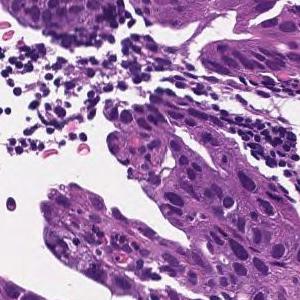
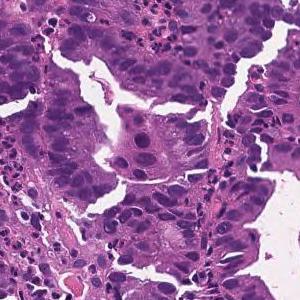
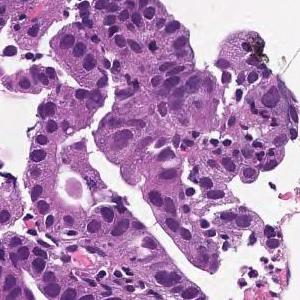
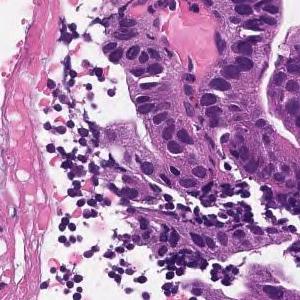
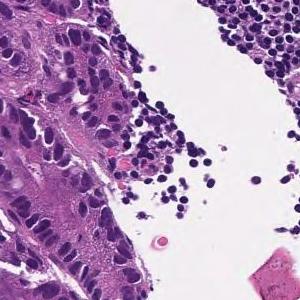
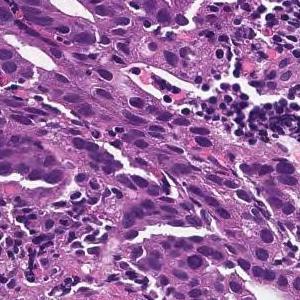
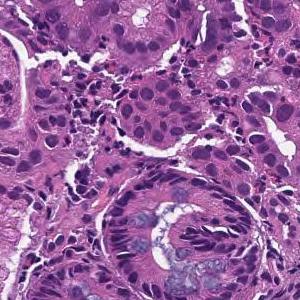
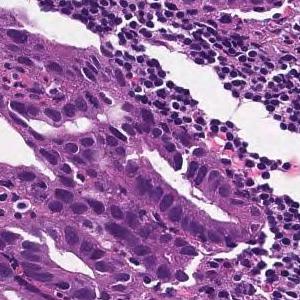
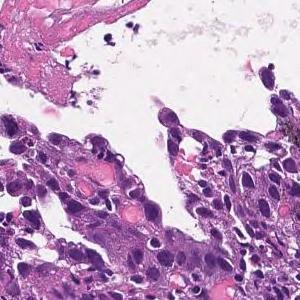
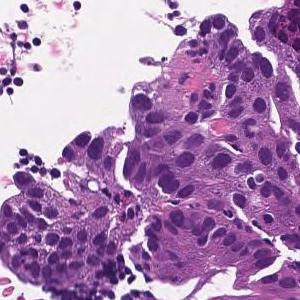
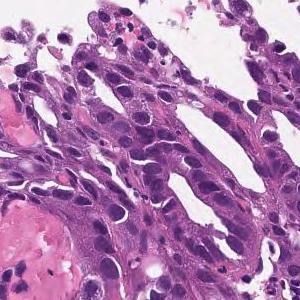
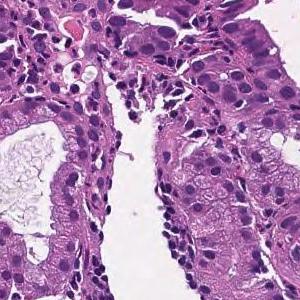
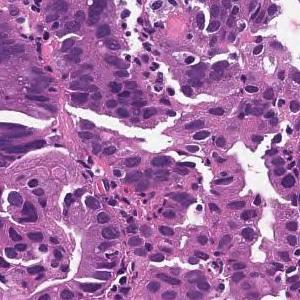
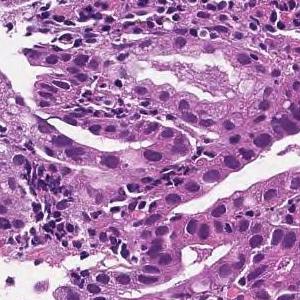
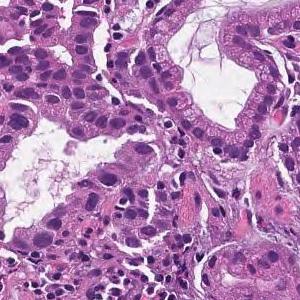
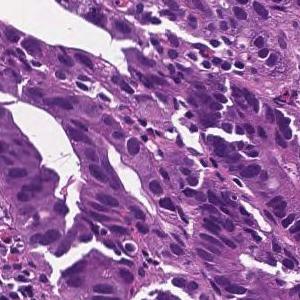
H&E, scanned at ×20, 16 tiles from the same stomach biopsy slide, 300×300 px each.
Pathology report for the biopsy slide these tiles were cut from. The findings and the diagnosis refer to the entire slide; these tiles show only part of it, possibly with non-tumor tissue, and may not show every feature named.
From the superficial epithelium to the muscularis mucosae, tumor tissue consisting of medium-sized and irregular glandular ducts infiltrating is observed. Well differentiated tubular adenocarcinoma
